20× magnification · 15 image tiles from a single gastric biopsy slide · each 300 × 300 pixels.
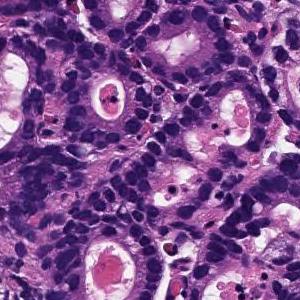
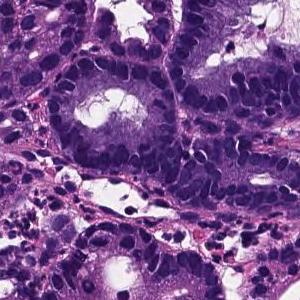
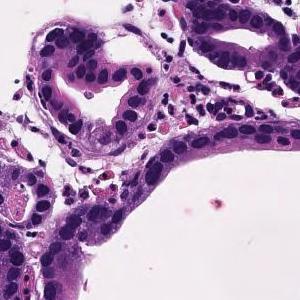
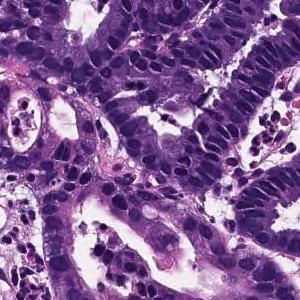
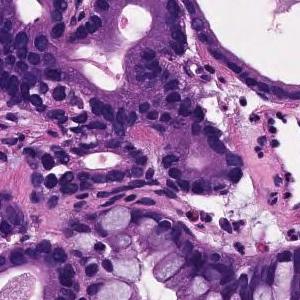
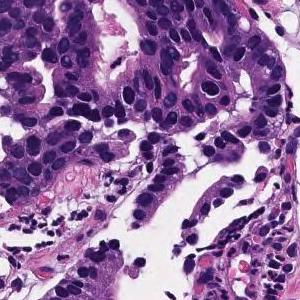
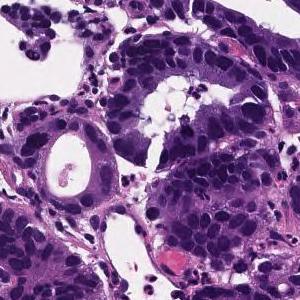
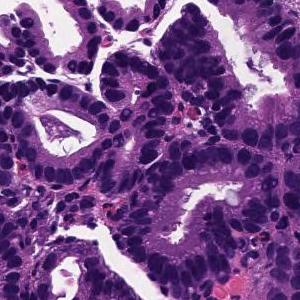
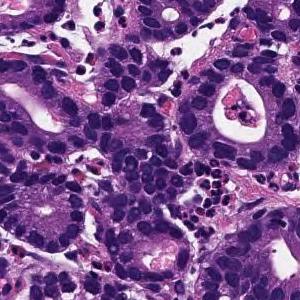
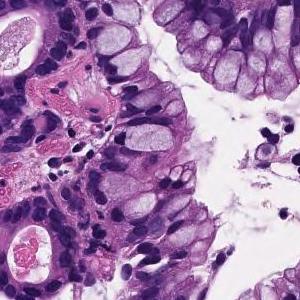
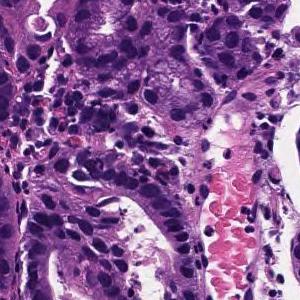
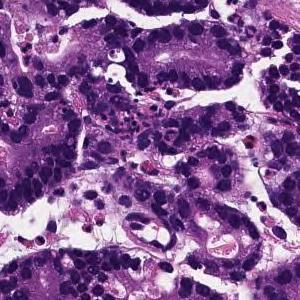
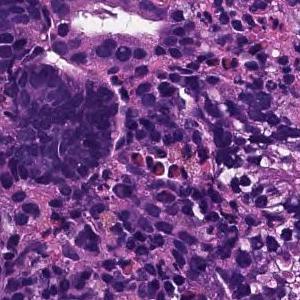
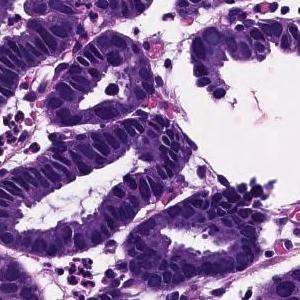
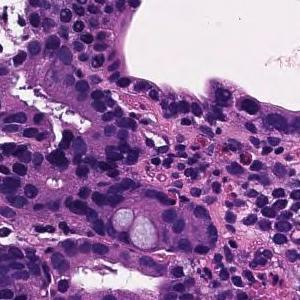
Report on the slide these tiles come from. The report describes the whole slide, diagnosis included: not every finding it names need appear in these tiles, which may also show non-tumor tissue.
From the superficial epithelium to the muscularis mucosae, tumor tissue consisting of medium-sized and irregular glandular ducts infiltrating is observed. Well differentiated tubular adenocarcinoma
